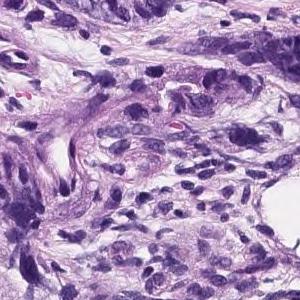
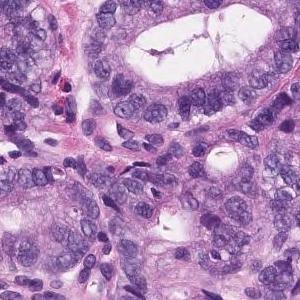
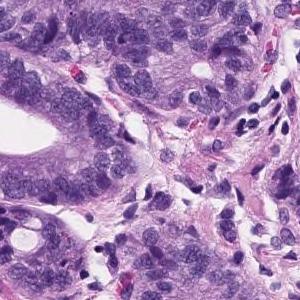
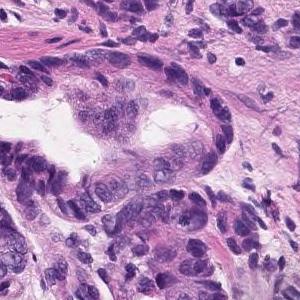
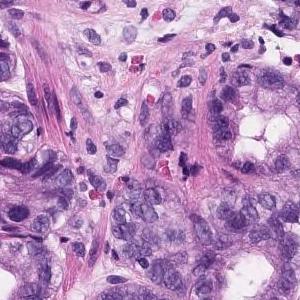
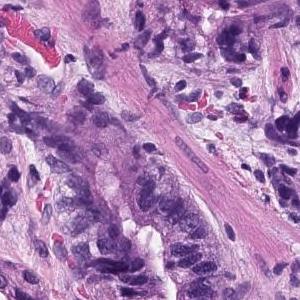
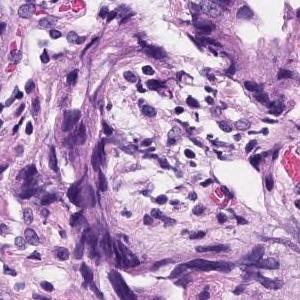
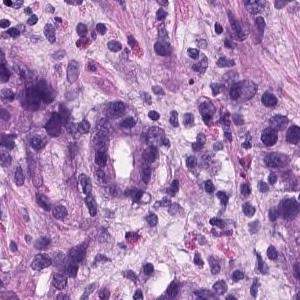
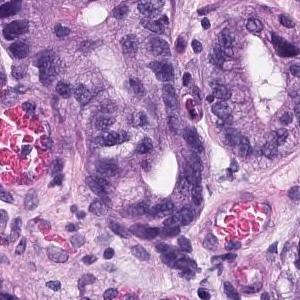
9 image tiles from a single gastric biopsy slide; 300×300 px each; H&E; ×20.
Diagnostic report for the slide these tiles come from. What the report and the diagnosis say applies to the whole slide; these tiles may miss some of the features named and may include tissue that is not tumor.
In the superficial epithelium, tumor tissue that invades by forming medium-sized to small, irregular ducts is observed. Moderately differentiated adenocarcinoma.
Histological subtype: Moderately differentiated tubular adenocarcinoma.
